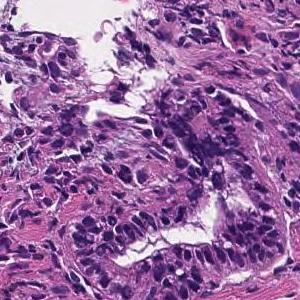
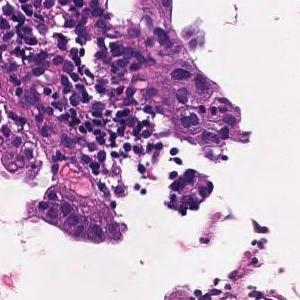
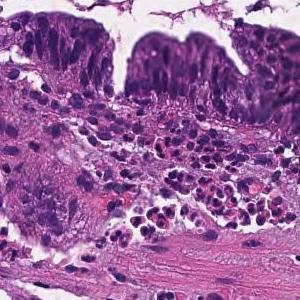
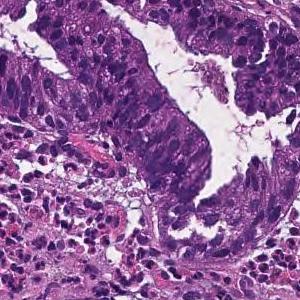
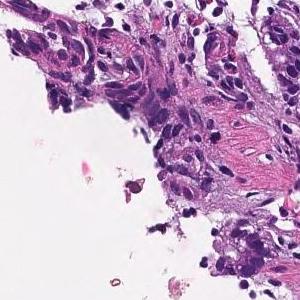
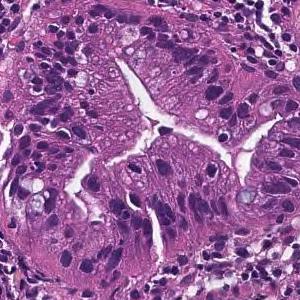
Hematoxylin and eosin stain · 20× magnification · 6 image tiles from a single gastric biopsy slide · each 300 × 300 pixels.
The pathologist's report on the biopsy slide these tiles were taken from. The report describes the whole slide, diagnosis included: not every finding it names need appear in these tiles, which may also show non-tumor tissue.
From the superficial epithelium to the muscularis mucosae, tumor tissue consisting of medium-sized and irregular glandular ducts infiltrating is observed. Well differentiated tubular adenocarcinoma
